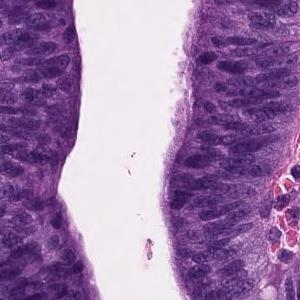
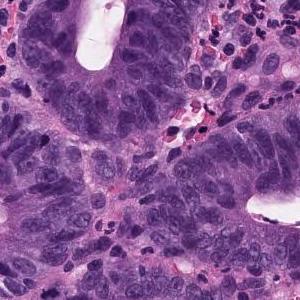
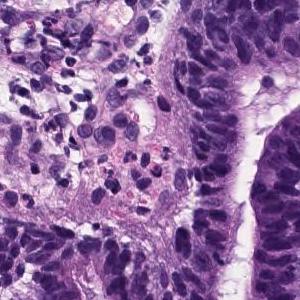
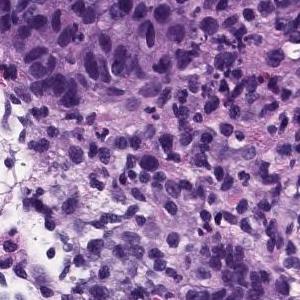
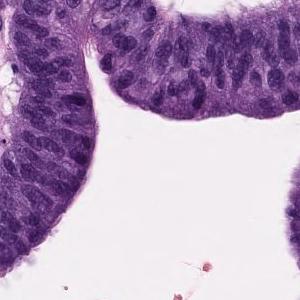
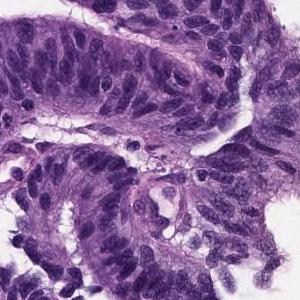
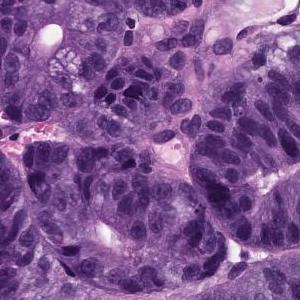
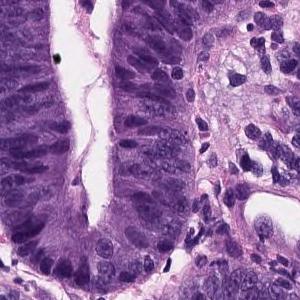
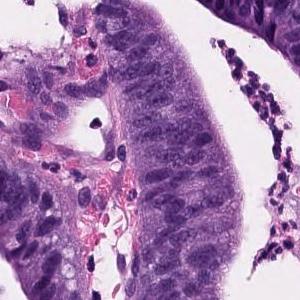
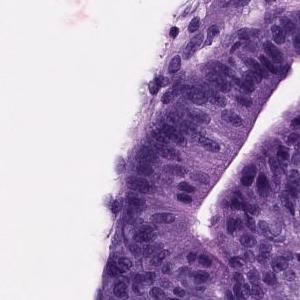
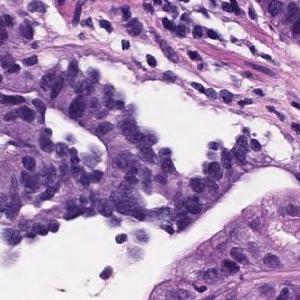
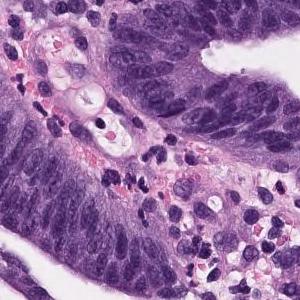
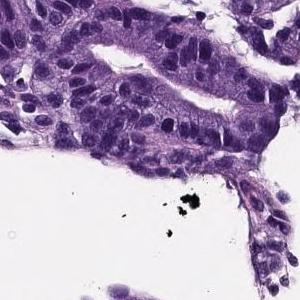
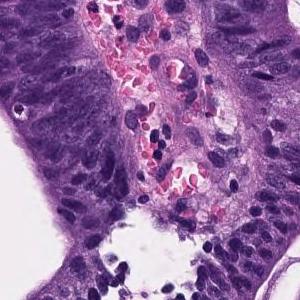
Scanned at ×20; H&E; 14 patches cut from one gastric biopsy slide.
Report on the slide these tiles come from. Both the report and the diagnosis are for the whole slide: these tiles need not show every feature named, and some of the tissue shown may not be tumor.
Papillo-tubular growth of atypical tubules with nuclear swelling is observed. Well differentiated tubular adenocarcinoma
